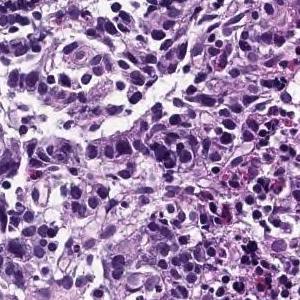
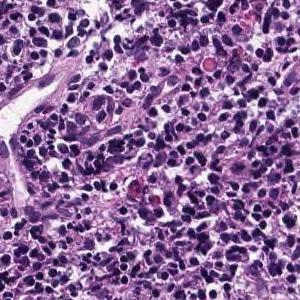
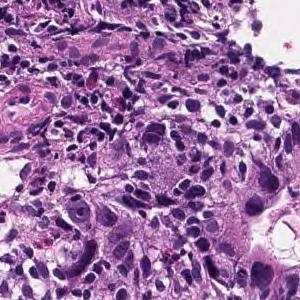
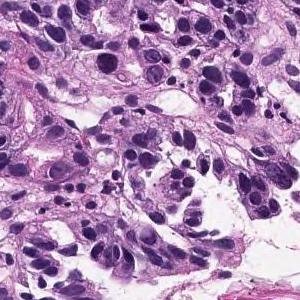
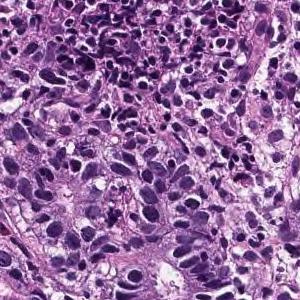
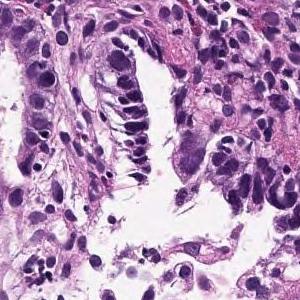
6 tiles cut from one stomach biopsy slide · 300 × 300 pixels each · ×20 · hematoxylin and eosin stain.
Pathology report for the slide these tiles were cut from. The report describes the whole slide, diagnosis included: not every finding it names need appear in these tiles, which may also show non-tumor tissue.
Tumor tissue consisting of cord-like or small, irregular glandular ducts fused and infiltrated is observed in the superficial epithelium. Poorly differentiated adenocarcinoma, non-solid type
"Non-solid type" is a category of the Japanese Classification of Gastric Carcinoma.
